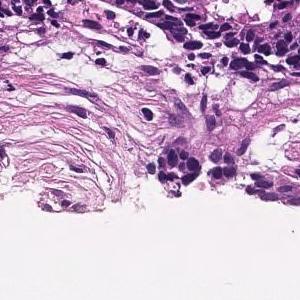
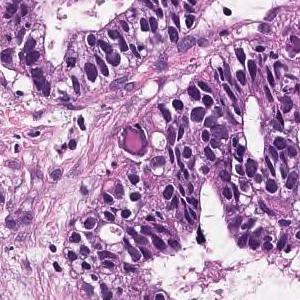
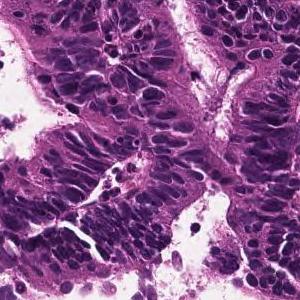
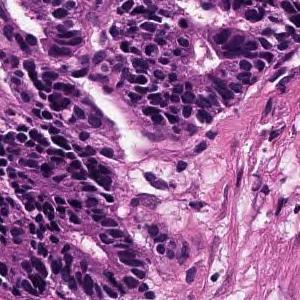
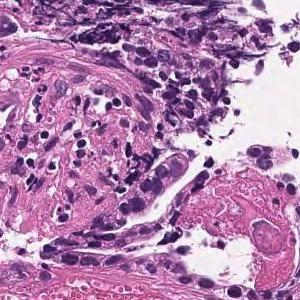
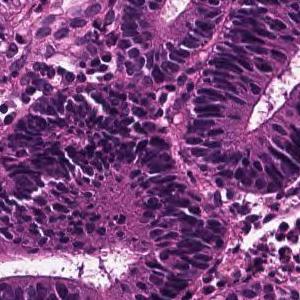
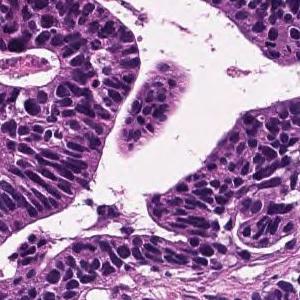
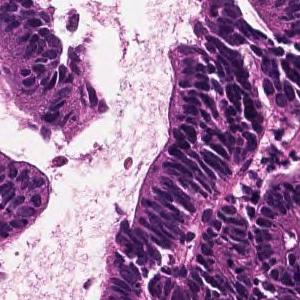
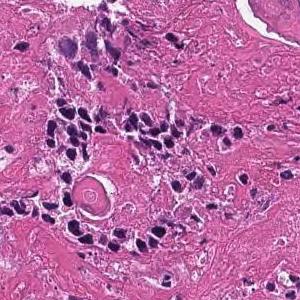
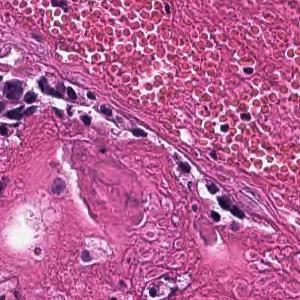
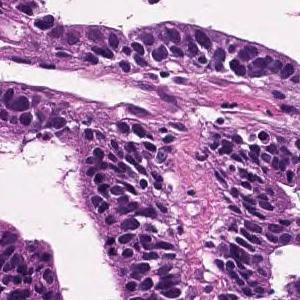
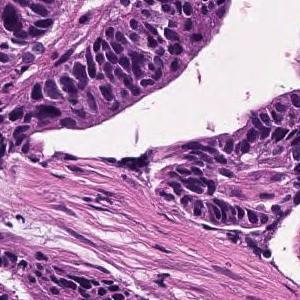
×20, hematoxylin and eosin stain, 12 image tiles from a single gastric biopsy slide, 300×300 px each.
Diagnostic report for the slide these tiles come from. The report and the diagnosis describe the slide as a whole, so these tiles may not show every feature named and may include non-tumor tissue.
In the superficial epithelium, tumor tissue that invades by forming medium-sized to small, irregular ducts is observed. Well differentiated tubular adenocarcinoma.
